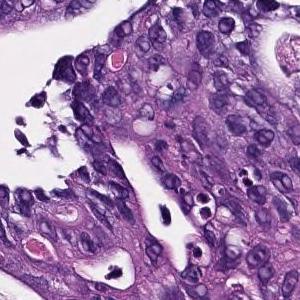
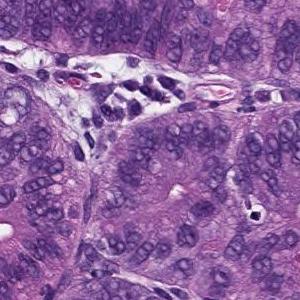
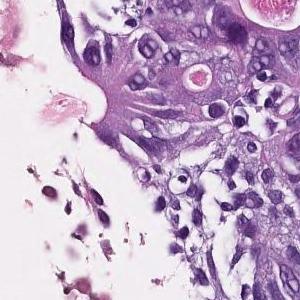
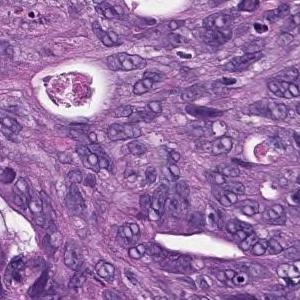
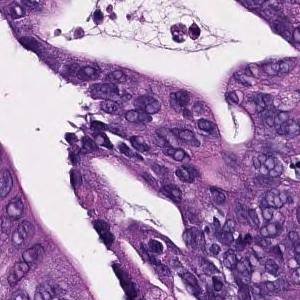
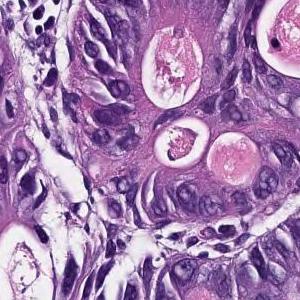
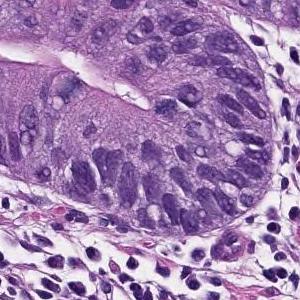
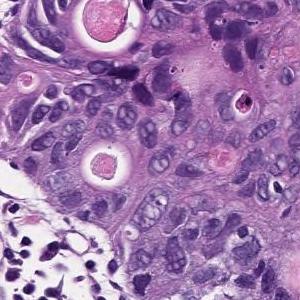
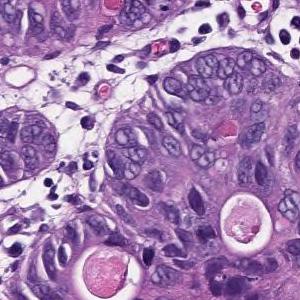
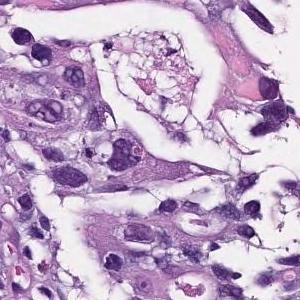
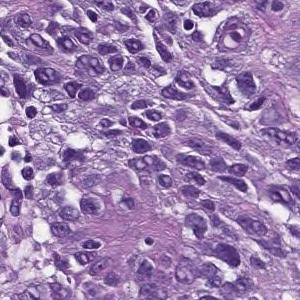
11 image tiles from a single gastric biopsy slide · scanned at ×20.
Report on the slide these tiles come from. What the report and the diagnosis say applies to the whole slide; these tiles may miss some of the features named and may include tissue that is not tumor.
In the superficial epithelium, tumor tissue that invades by forming medium-sized to small, irregular ducts is observed. moderately differentiated tubular adenocarcinoma.
